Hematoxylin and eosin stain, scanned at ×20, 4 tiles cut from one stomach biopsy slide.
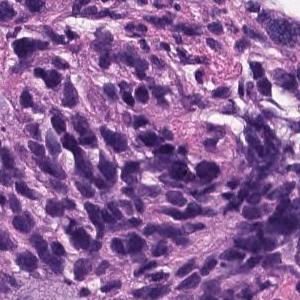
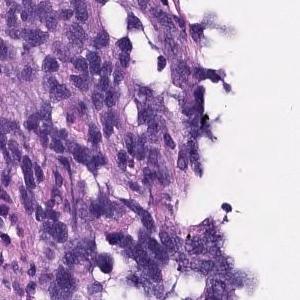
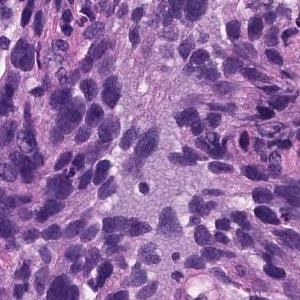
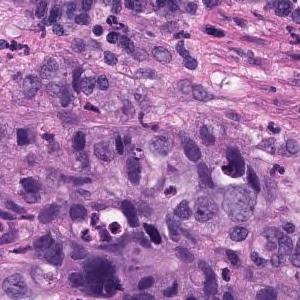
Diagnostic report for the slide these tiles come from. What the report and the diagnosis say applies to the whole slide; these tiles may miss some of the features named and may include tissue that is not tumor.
Atypical l cells with atypical nuclei under the mucosa growing in isolation and scattered. Poorly differentiated adenocarcinoma (poorly differentiated adenocarcinoma, non-solid type)
Subtype: Poorly differentiated adenocarcinoma, non-solid type.
The term "non-solid type" comes from the Japanese Classification of Gastric Carcinoma.
